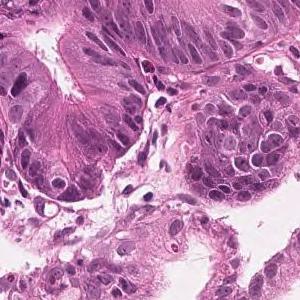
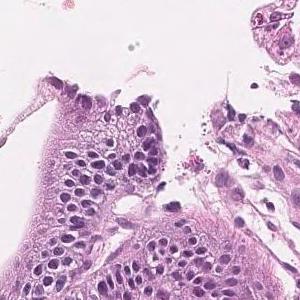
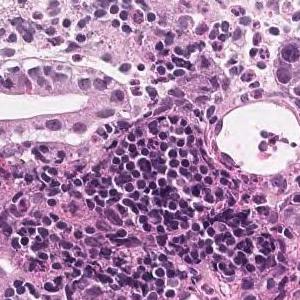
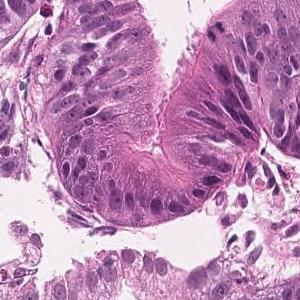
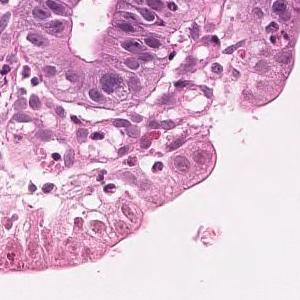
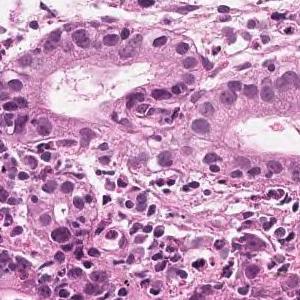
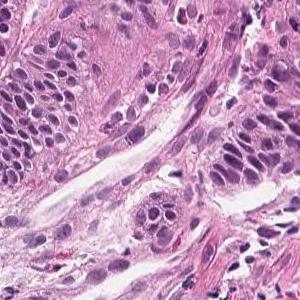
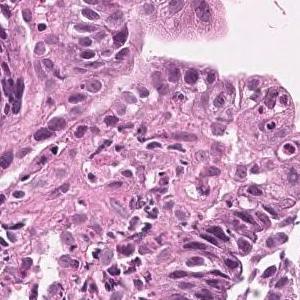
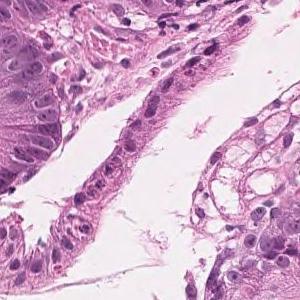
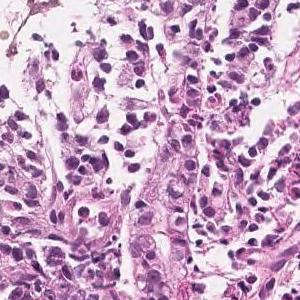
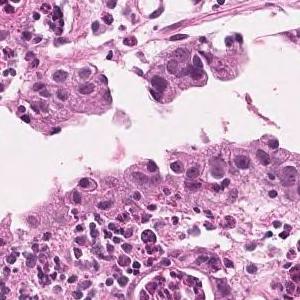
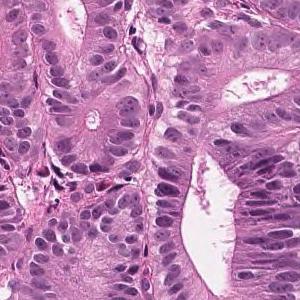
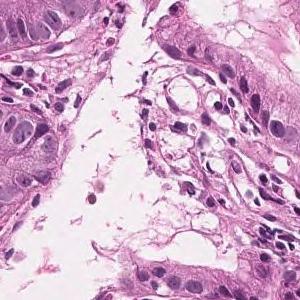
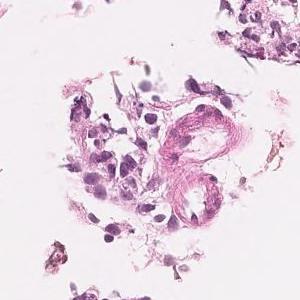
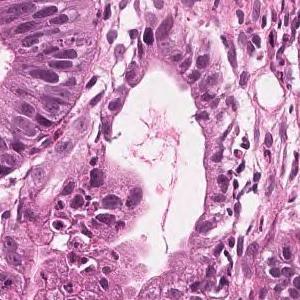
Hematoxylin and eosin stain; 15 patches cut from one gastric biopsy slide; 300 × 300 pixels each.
The pathologist's report on the biopsy slide these tiles were taken from. The report and the diagnosis cover the entire slide, so not every feature they name need be visible here, and some tissue shown may not be tumor.
On the superficial epithelium, tumor tissue consisting of large, irregular glandular ducts partially fused and infiltrated is observed. Well to moderately differentiated tubular adenocarcinoma (well differentiated tubular adenocarcinoma, moderately differentiated tubular adenocarcinoma)
Classified as well to moderately differentiated tubular adenocarcinoma.
